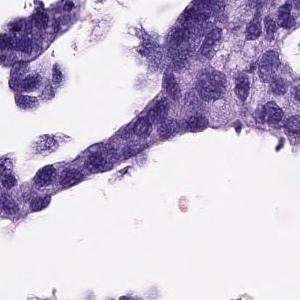
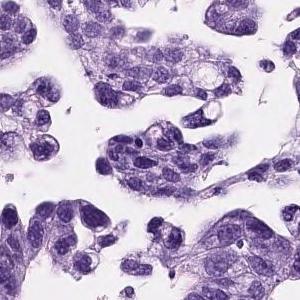
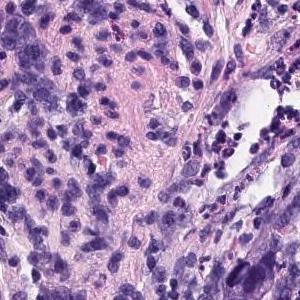
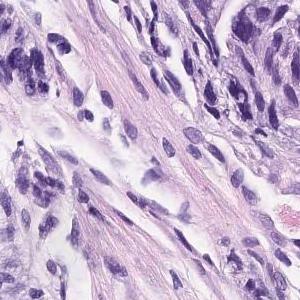
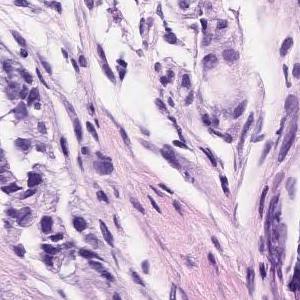
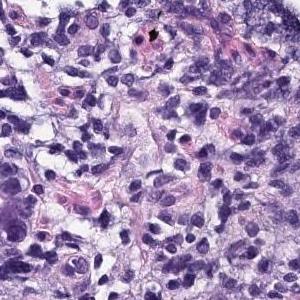
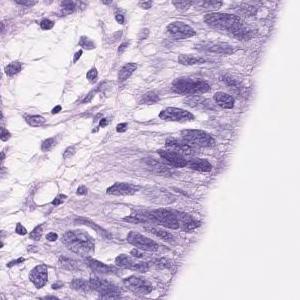
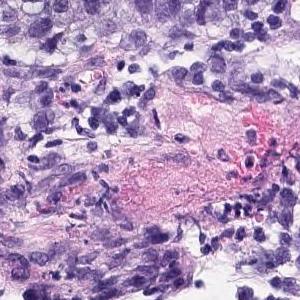
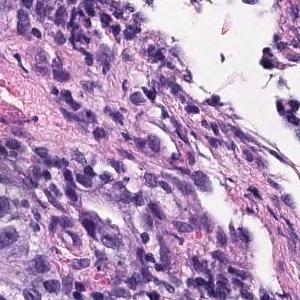
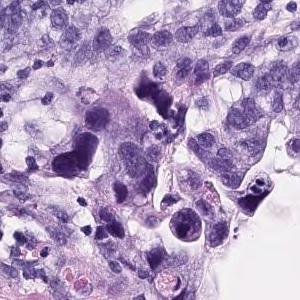
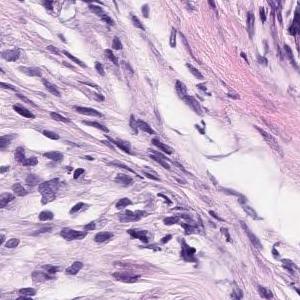
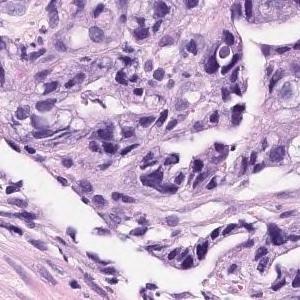
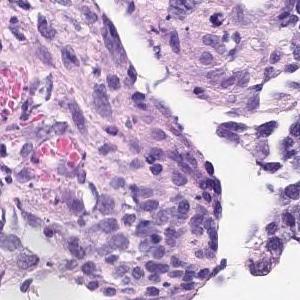
13 patches cut from one gastric biopsy slide · H&E stain.
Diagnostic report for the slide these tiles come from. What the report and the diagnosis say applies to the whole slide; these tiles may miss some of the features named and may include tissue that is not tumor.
On the superficial epithelium, tumor tissue consisting of medium to small irregular tubules partially fused and proliferated is observed. moderately differentiated tubular adenocarcinoma
